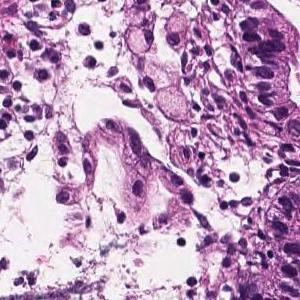
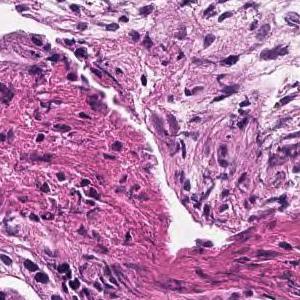
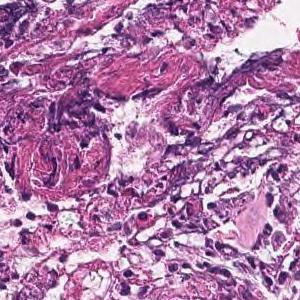
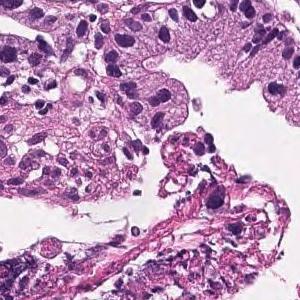
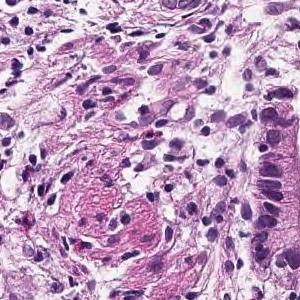
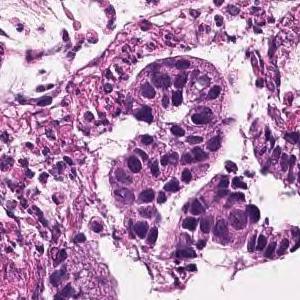
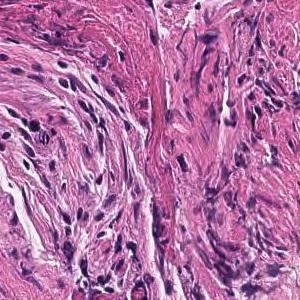
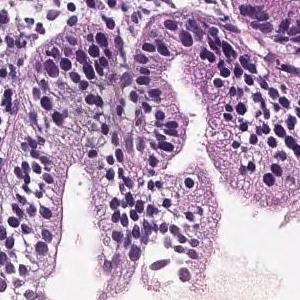
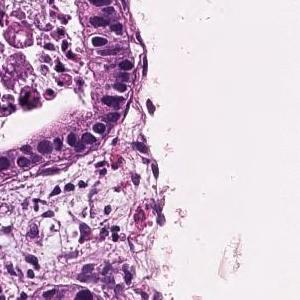
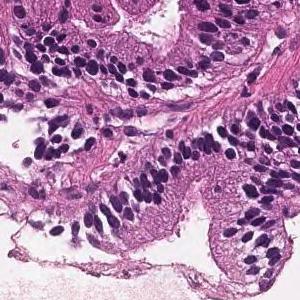
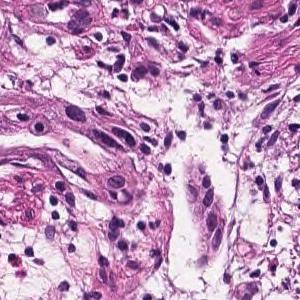
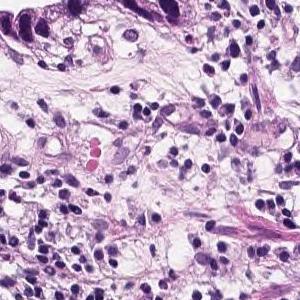
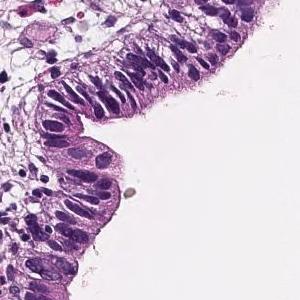
13 tiles cut from one stomach biopsy slide.
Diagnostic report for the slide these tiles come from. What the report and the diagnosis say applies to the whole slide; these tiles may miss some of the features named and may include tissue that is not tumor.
On the superficial epithelium, tumor tissue consisting of large, irregular glandular ducts partially fused and infiltrated is observed. Well to moderately differentiated tubular adenocarcinoma (well differentiated tubular adenocarcinoma, moderately differentiated tubular adenocarcinoma)
Tumor subtype: well to moderately differentiated tubular adenocarcinoma.
